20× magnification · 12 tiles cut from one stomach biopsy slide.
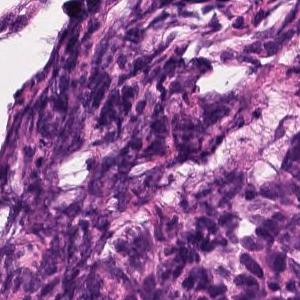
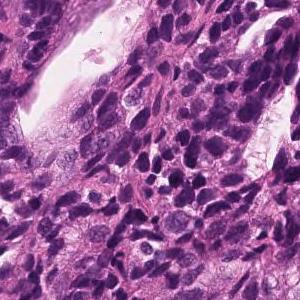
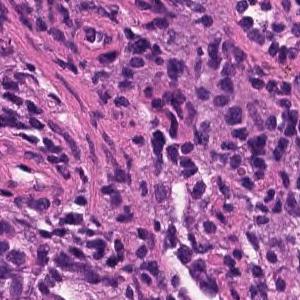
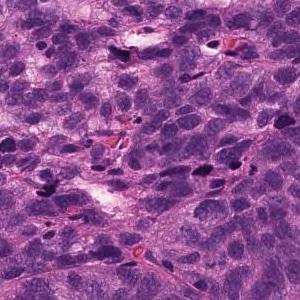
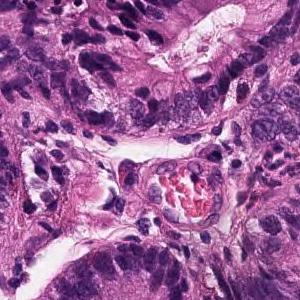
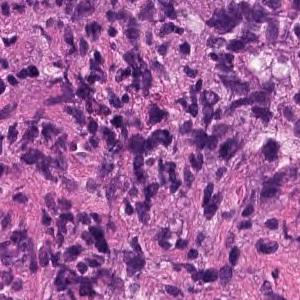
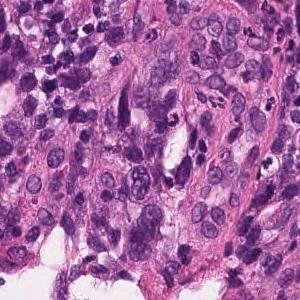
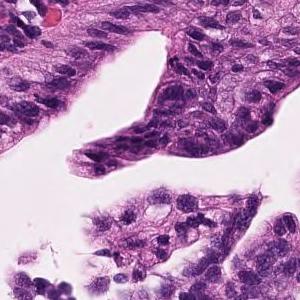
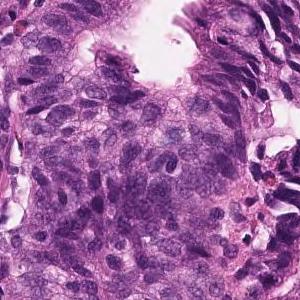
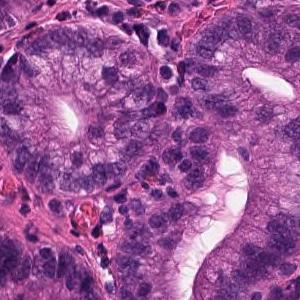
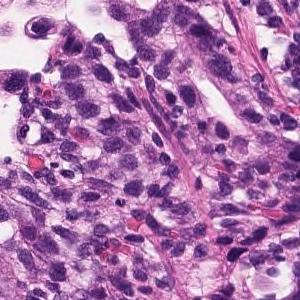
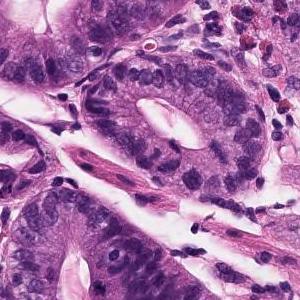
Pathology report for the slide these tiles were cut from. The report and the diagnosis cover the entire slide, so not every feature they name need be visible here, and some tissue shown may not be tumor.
In the superficial epithelium, tumor tissue that invades by forming medium-sized to small, irregular ducts is observed. Moderately differentiated adenocarcinoma.
Tumor subtype: moderately differentiated tubular adenocarcinoma.
